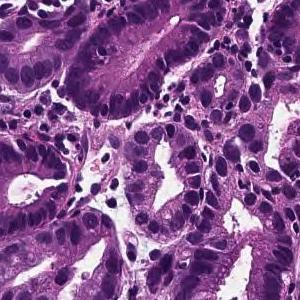
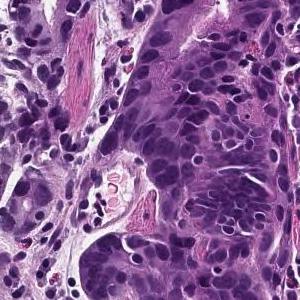
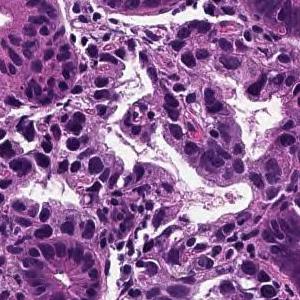
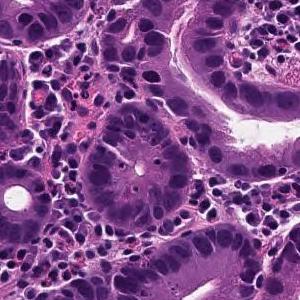
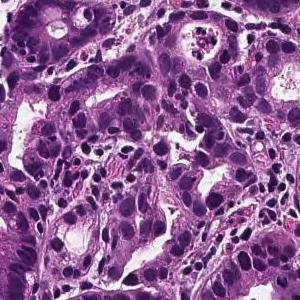
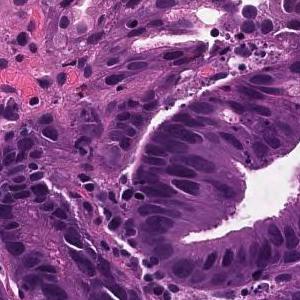
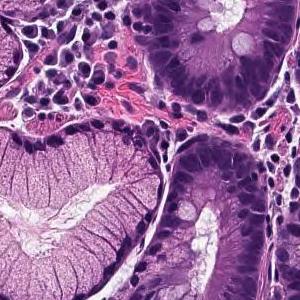
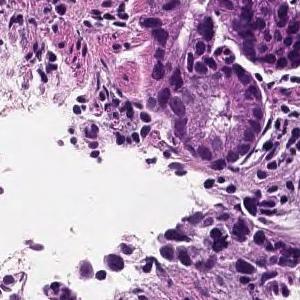
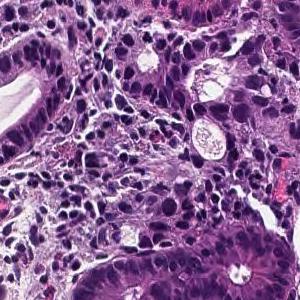
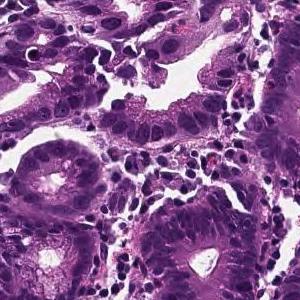
10 tiles cut from one stomach biopsy slide · 300×300 px each · ×20 · H&E.
The pathologist's report on the biopsy slide these tiles were taken from. What the report and the diagnosis say applies to the whole slide; these tiles may miss some of the features named and may include tissue that is not tumor.
From the superficial epithelium to the muscularis mucosae, tumor tissue consisting of medium-sized and irregular glandular ducts infiltrating is observed. Well differentiated tubular adenocarcinoma
